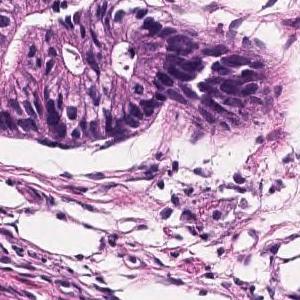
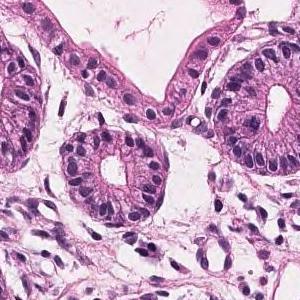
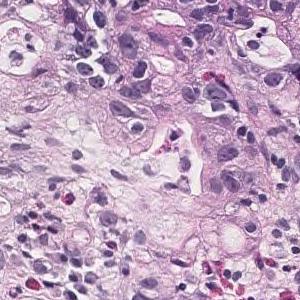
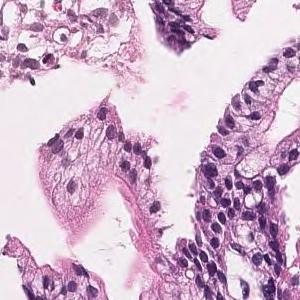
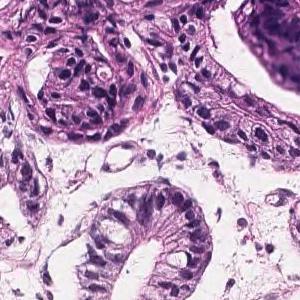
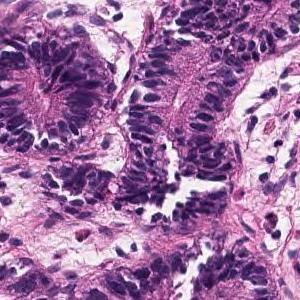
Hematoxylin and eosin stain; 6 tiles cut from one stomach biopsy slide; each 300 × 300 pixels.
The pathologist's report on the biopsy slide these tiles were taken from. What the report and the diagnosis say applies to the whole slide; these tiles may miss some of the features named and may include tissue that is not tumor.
Tumor tissue in which medium to small irregular ducts infiltrate and proliferate in the submucosa can be seen in the epithelium. Well differentiated tubular adenocarcinoma
